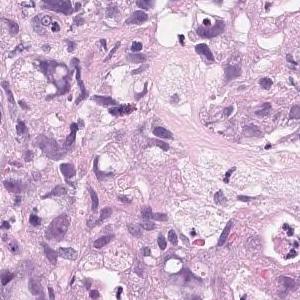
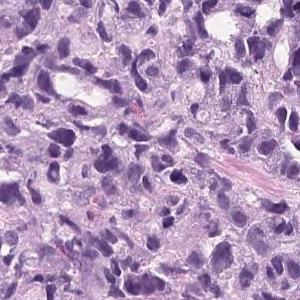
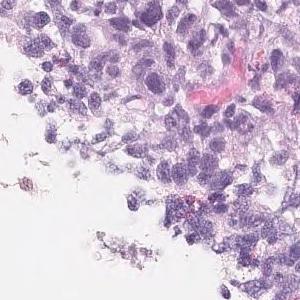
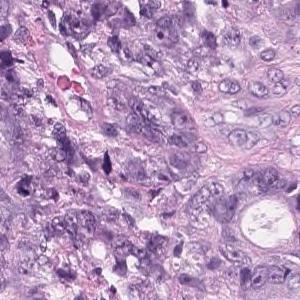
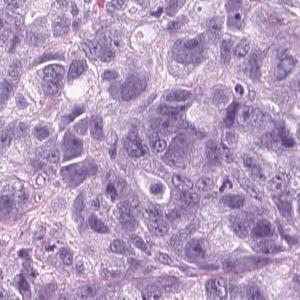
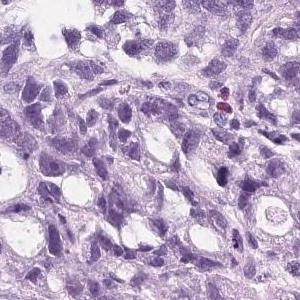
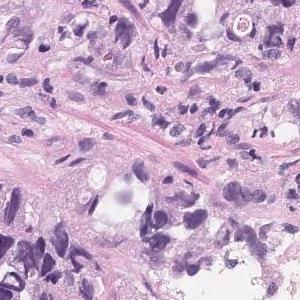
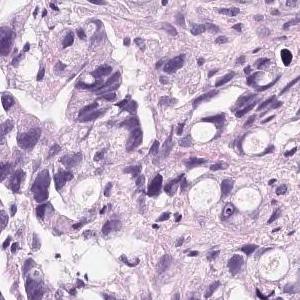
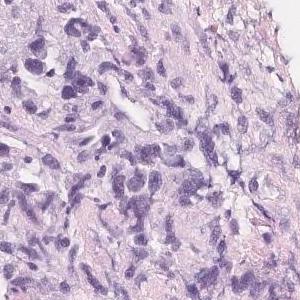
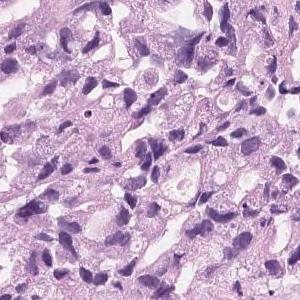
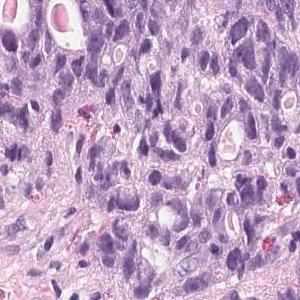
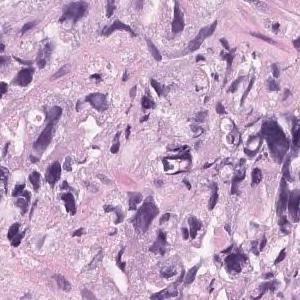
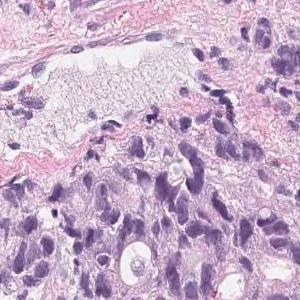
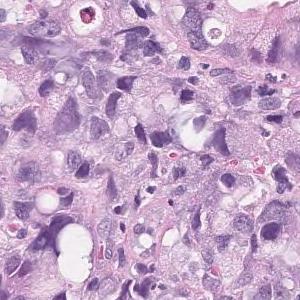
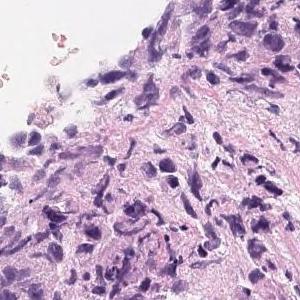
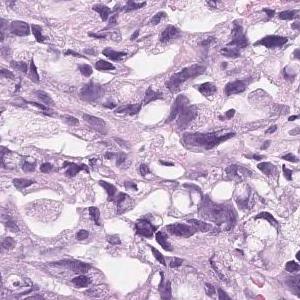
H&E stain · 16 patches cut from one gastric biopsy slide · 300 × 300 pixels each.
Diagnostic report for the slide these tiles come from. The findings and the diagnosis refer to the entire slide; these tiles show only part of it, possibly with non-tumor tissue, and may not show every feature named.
Tumor tissue that infiltrates and proliferates by forming small glandular cavities in the superficial layer to the submucosa or forming a mass is observed. moderately differentiated tubular adenocarcinoma
